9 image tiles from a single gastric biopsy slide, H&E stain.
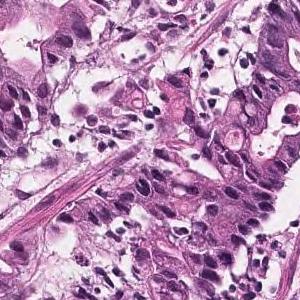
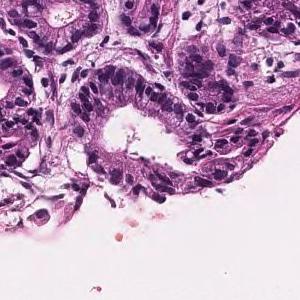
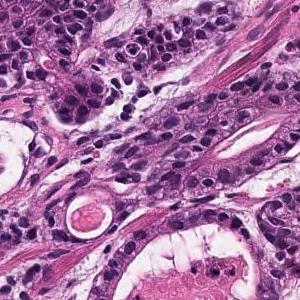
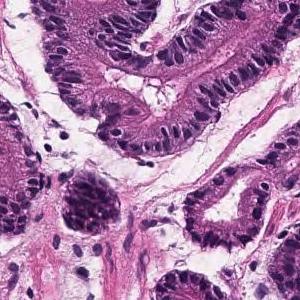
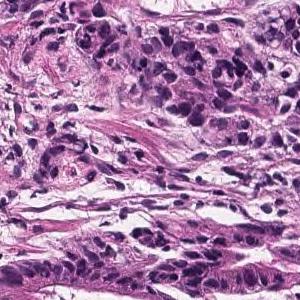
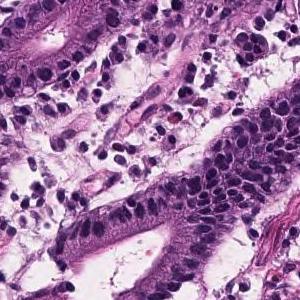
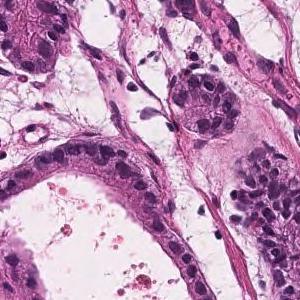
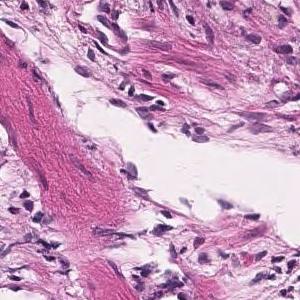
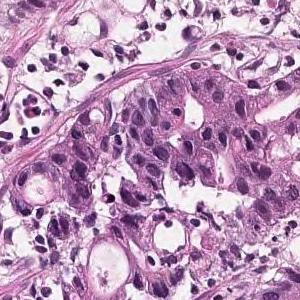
Pathology report for the slide these tiles were cut from. The report and the diagnosis cover the entire slide, so not every feature they name need be visible here, and some tissue shown may not be tumor.
Tumor tissue with atypical epithelium showing irregular ductal or sieving ductal structure and proliferating is observed. Well to moderately differentiated tubular adenocarcinoma (well differentiated tubular adenocarcinoma-moderately differentiated tubular adenocarcinoma)
Histologic type: Well to moderately differentiated tubular adenocarcinoma.
